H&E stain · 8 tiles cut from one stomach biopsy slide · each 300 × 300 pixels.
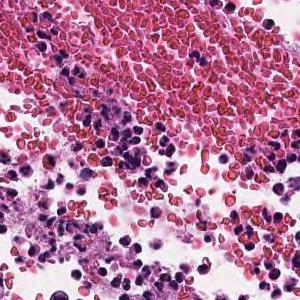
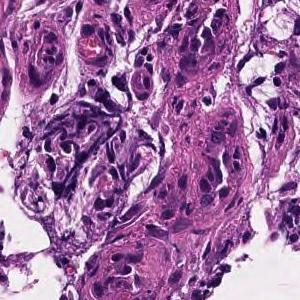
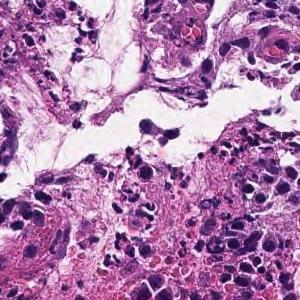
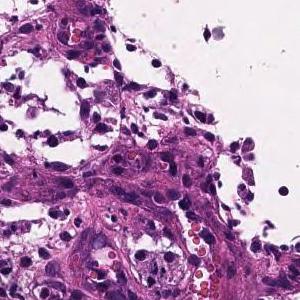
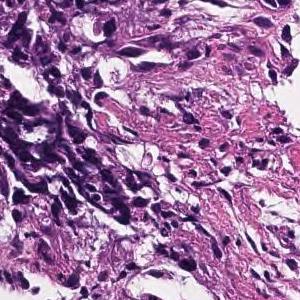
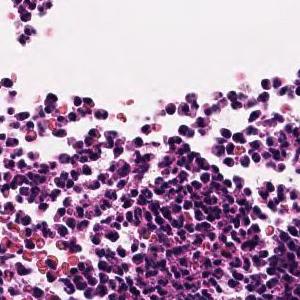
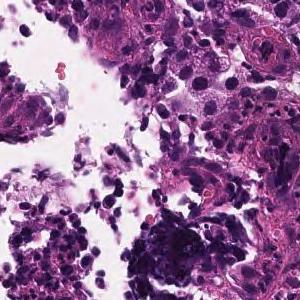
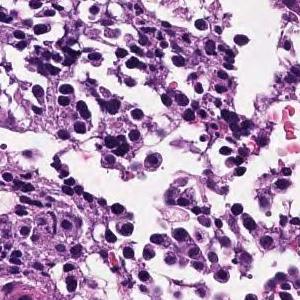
The pathologist's report on the biopsy slide these tiles were taken from. Both the report and the diagnosis are for the whole slide: these tiles need not show every feature named, and some of the tissue shown may not be tumor.
The superficial epithelium shows a large sheet-like shape, and some tumor tissue infiltrates with small irregular ducts. Poorly differentiated adenocarcinoma, solid-type
Subtype: Poorly differentiated adenocarcinoma, solid type. This name comes from the Japanese Classification of Gastric Carcinoma; the WHO 2019 classification calls it tubular adenocarcinoma, poorly differentiated.
